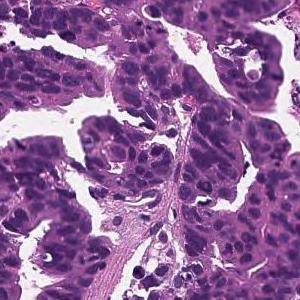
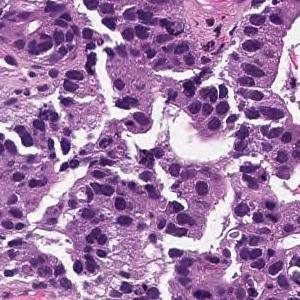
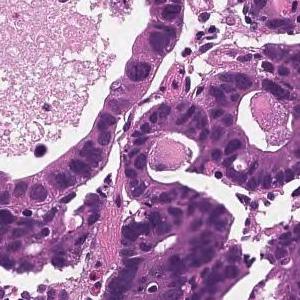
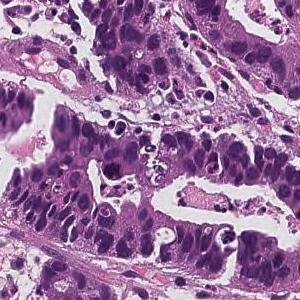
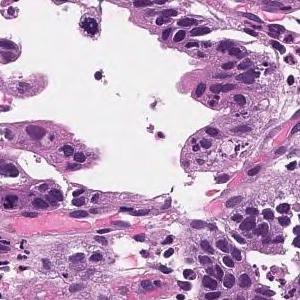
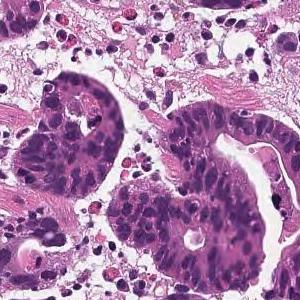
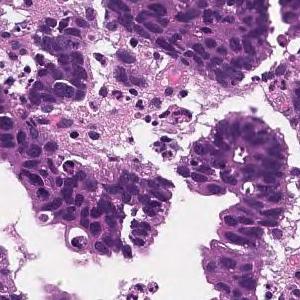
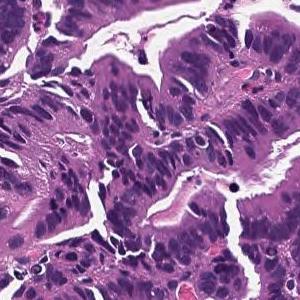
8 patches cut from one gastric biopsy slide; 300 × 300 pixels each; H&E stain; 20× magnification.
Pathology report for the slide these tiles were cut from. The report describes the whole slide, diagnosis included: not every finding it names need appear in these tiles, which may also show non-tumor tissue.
In the superficial epithelium, tumor tissue that invades by forming medium-sized to small, irregular ducts is observed. moderately differentiated tubular adenocarcinoma.
